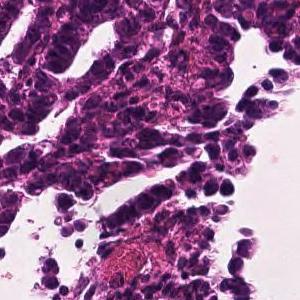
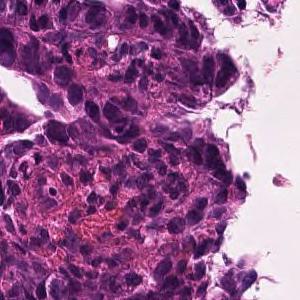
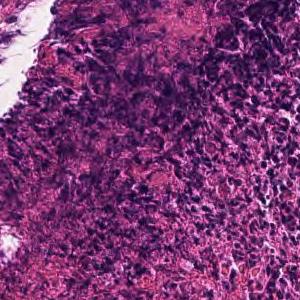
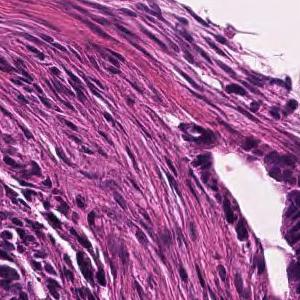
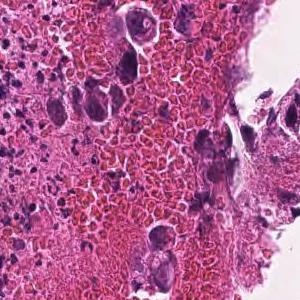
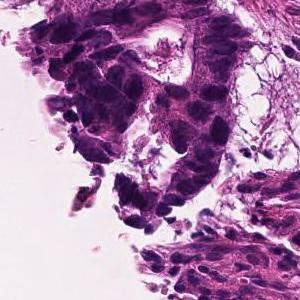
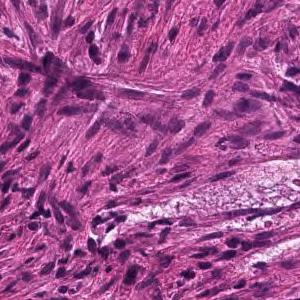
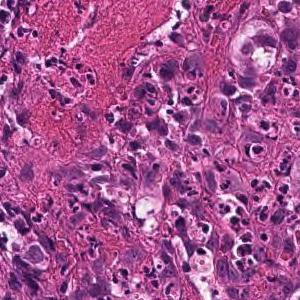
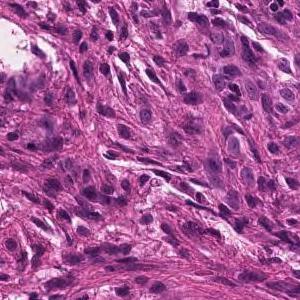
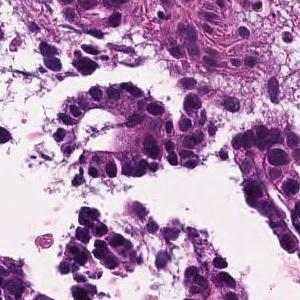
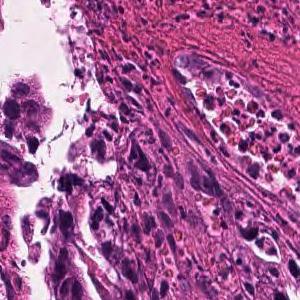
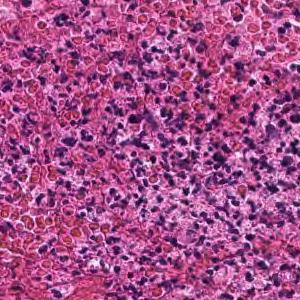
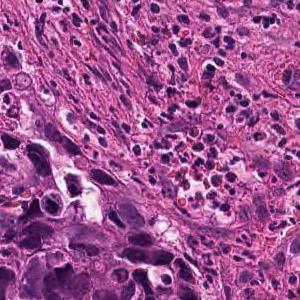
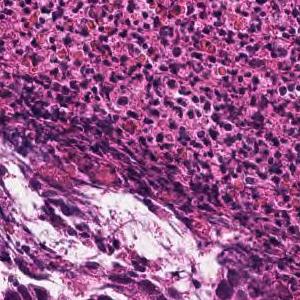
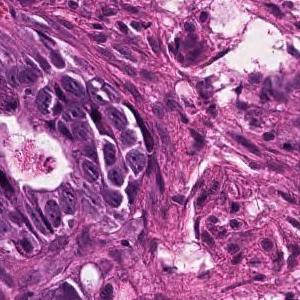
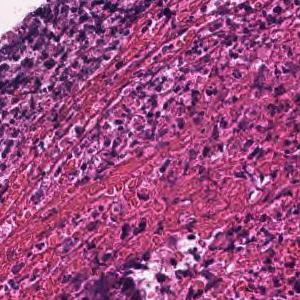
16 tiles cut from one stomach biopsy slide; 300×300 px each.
Pathology report for the slide these tiles were cut from. What the report and the diagnosis say applies to the whole slide; these tiles may miss some of the features named and may include tissue that is not tumor.
In the superficial epithelium, tumor tissue that invades by forming medium-sized to small, irregular ducts is observed. moderately differentiated tubular adenocarcinoma.
